20× magnification · hematoxylin and eosin stain · 4 patches cut from one gastric biopsy slide · each 300 × 300 pixels.
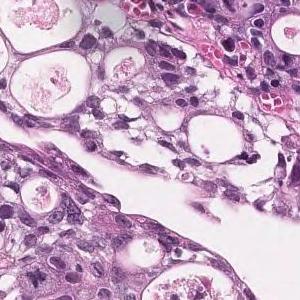
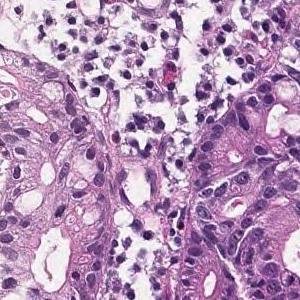
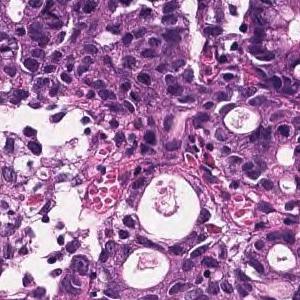
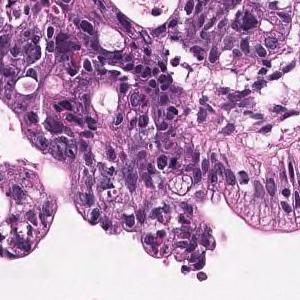
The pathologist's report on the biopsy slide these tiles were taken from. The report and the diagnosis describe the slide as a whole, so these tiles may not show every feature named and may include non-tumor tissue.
In the superficial epithelium, tumor tissue that invades by forming medium-sized to small, irregular ducts is observed. Moderately differentiated adenocarcinoma.
Classified as moderately differentiated tubular adenocarcinoma.
